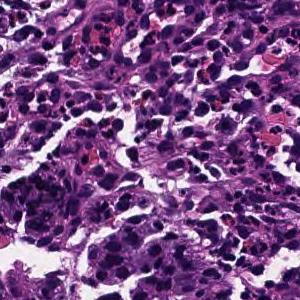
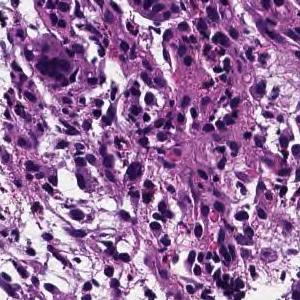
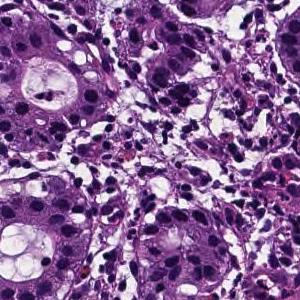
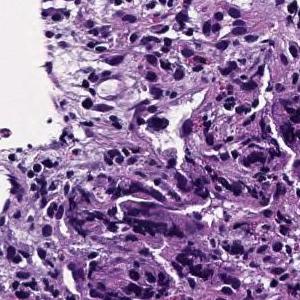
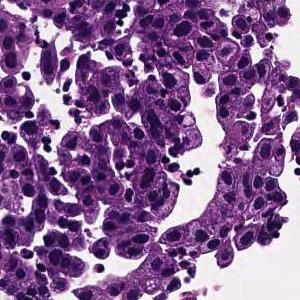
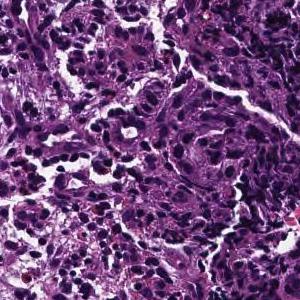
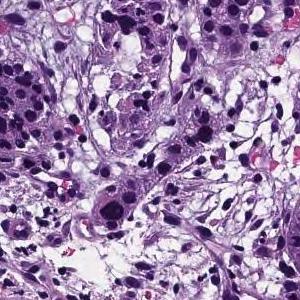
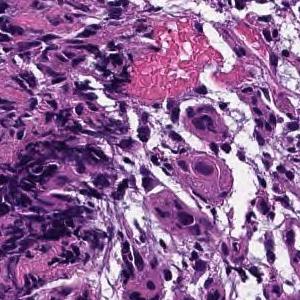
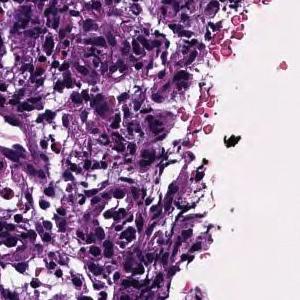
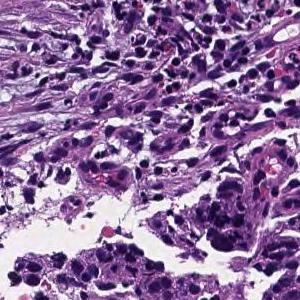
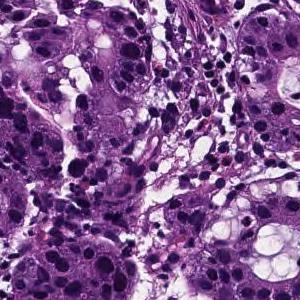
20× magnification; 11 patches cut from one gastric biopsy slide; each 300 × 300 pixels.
The pathologist's report on the biopsy slide these tiles were taken from. The findings and the diagnosis refer to the entire slide; these tiles show only part of it, possibly with non-tumor tissue, and may not show every feature named.
Tumor tissue consisting of cord-like or small, irregular glandular ducts fused and infiltrated is observed in the superficial epithelium. Poorly differentiated adenocarcinoma, non-solid type
The term "non-solid type" comes from the Japanese Classification of Gastric Carcinoma.
